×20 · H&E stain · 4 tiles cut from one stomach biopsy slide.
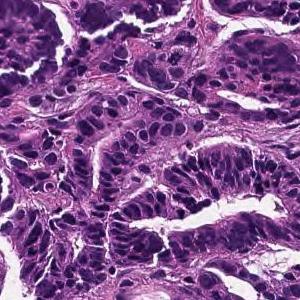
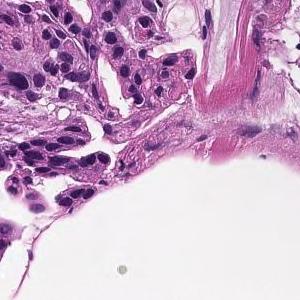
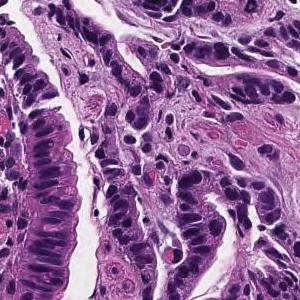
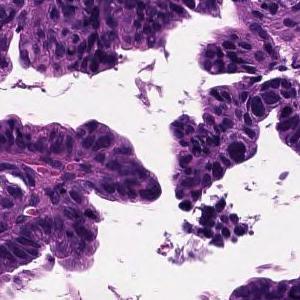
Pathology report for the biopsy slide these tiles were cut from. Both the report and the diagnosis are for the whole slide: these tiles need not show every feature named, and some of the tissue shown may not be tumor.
Tumor tissue consisting of large papillary structures is found in the superficial epithelium. Papillary adenocarcinoma.
